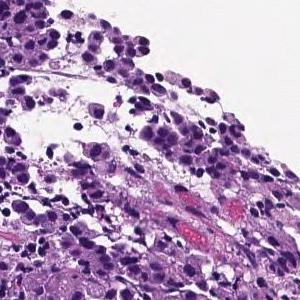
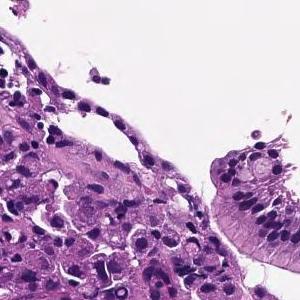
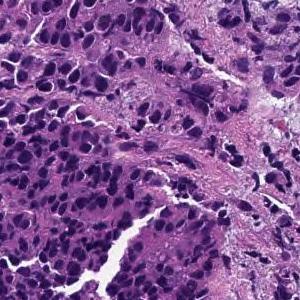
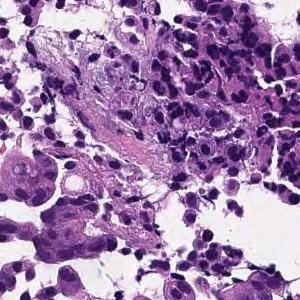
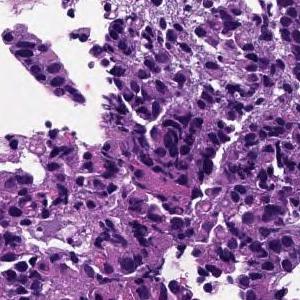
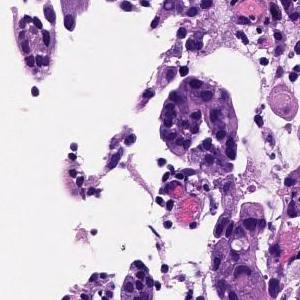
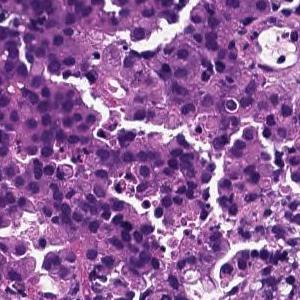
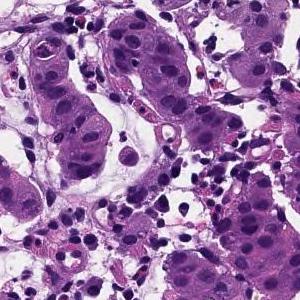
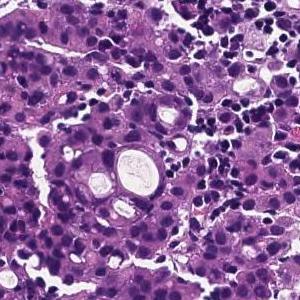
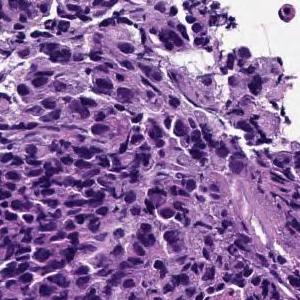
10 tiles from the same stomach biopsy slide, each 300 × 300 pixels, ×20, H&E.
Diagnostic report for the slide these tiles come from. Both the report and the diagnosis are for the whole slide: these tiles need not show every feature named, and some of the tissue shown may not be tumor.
The superficial epithelium shows a large sheet-like shape, and some tumor tissue infiltrates with small irregular ducts. Poorly differentiated adenocarcinoma, solid-type
Histological subtype: Poorly differentiated adenocarcinoma, solid type (Japanese Classification of Gastric Carcinoma). The WHO 2019 equivalent is tubular adenocarcinoma, poorly differentiated.
